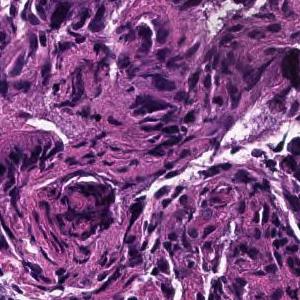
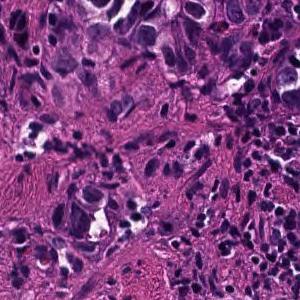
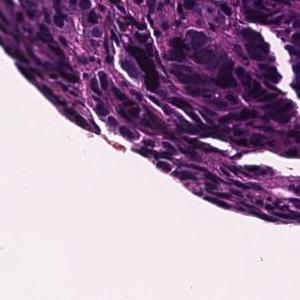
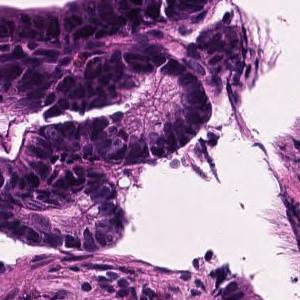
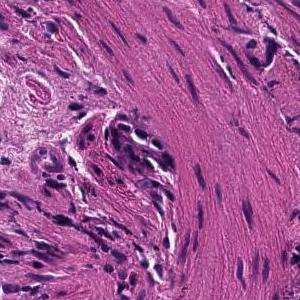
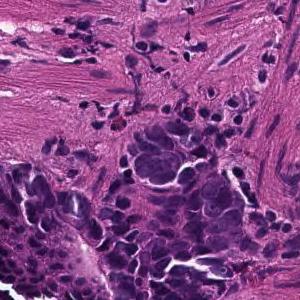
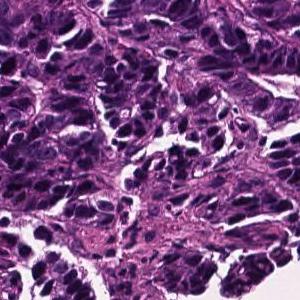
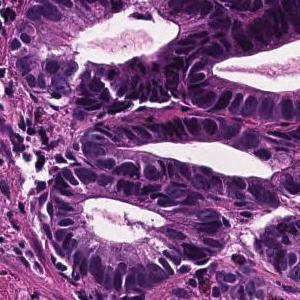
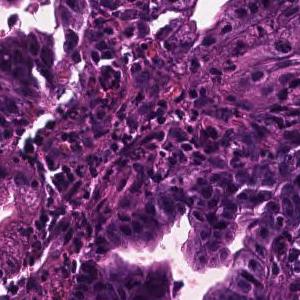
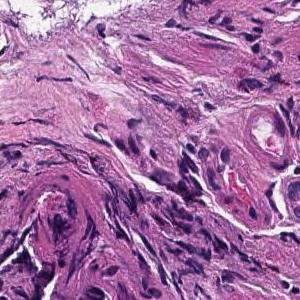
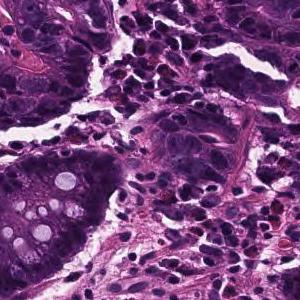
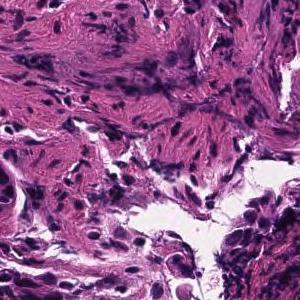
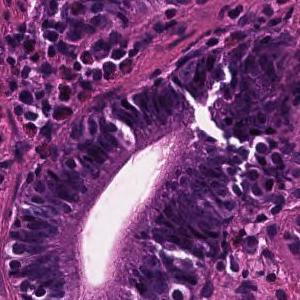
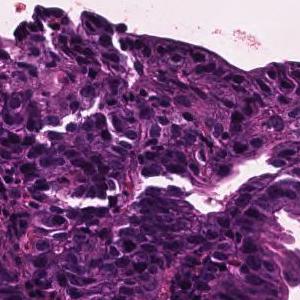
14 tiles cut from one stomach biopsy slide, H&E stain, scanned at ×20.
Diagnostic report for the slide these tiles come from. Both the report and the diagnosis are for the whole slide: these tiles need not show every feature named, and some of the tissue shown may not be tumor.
In the superficial epithelium, tumor tissue that invades by forming medium-sized to small, irregular ducts is observed. moderately differentiated tubular adenocarcinoma.
